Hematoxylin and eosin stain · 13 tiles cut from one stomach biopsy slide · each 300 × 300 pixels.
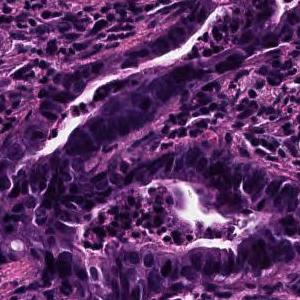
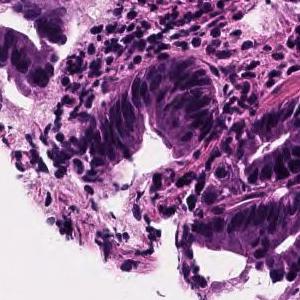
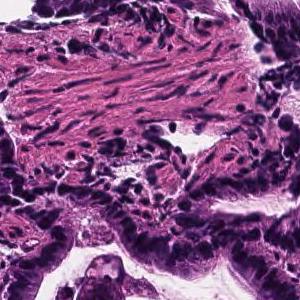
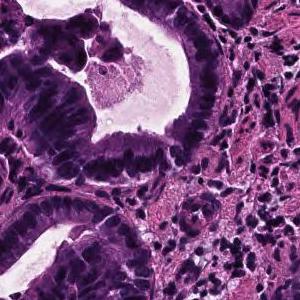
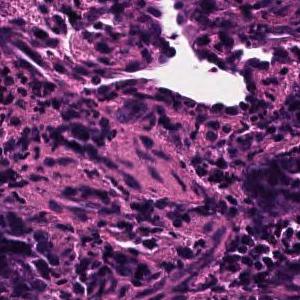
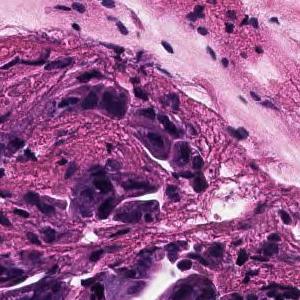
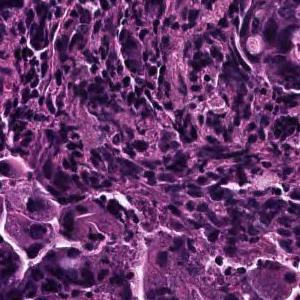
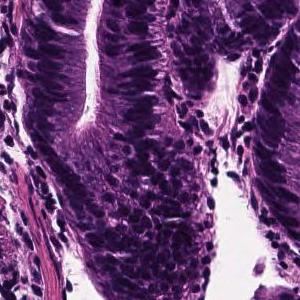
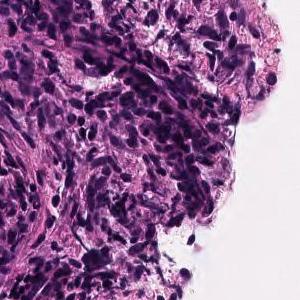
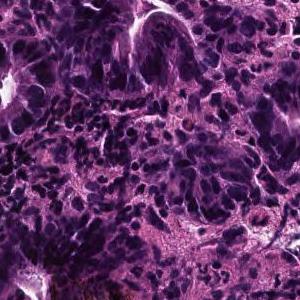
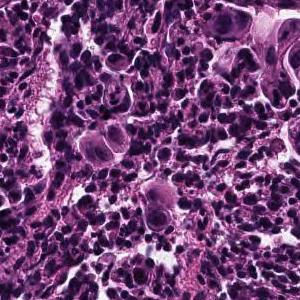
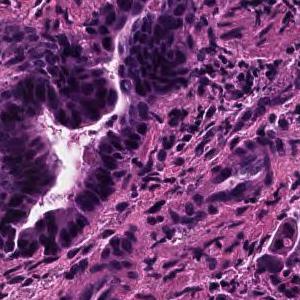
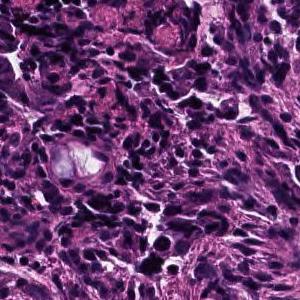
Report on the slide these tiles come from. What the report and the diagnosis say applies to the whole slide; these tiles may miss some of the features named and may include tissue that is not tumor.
On the superficial epithelium, tumor tissue consisting of large, irregular glandular ducts partially fused and infiltrated is observed. Well to moderately differentiated tubular adenocarcinoma (well differentiated tubular adenocarcinoma, moderately differentiated tubular adenocarcinoma)
Subtype: Well to moderately differentiated tubular adenocarcinoma.
